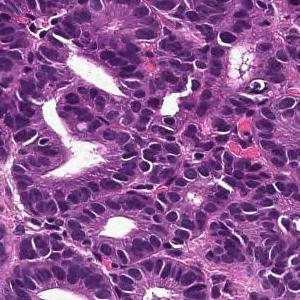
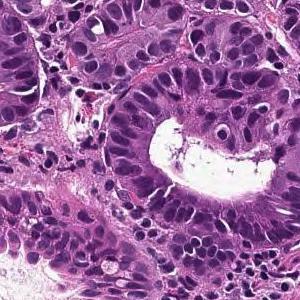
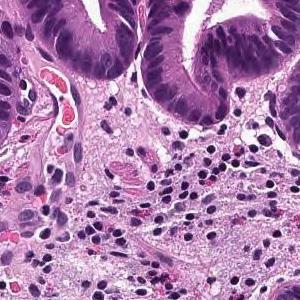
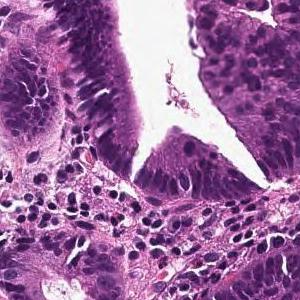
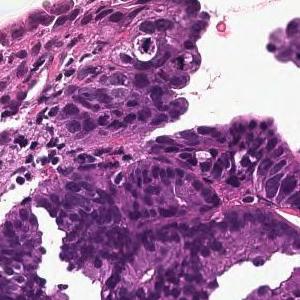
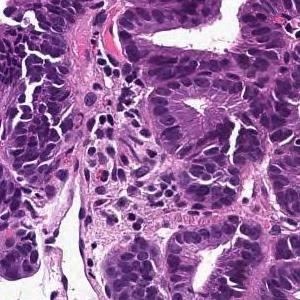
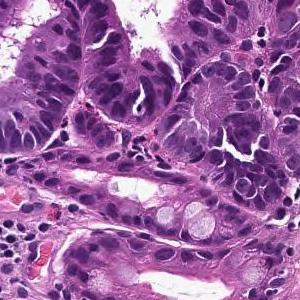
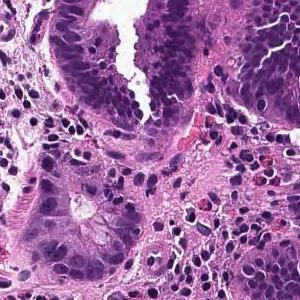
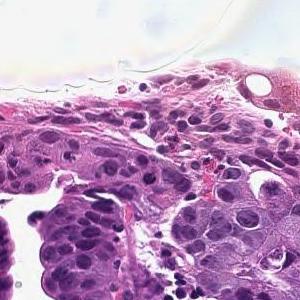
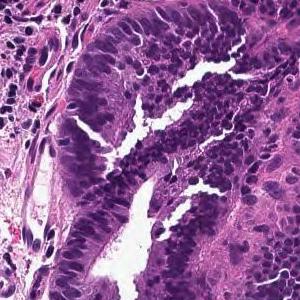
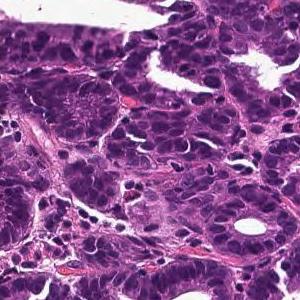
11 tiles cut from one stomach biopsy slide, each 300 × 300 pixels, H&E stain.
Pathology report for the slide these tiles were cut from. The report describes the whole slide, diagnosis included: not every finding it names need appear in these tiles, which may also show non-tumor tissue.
Tumor cells are large, highly columnar, large club-shaped nuclei, and are associated with chromatin aggregation. Papillary adenocarcinoma.
